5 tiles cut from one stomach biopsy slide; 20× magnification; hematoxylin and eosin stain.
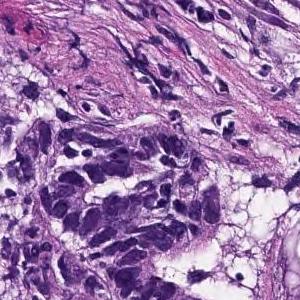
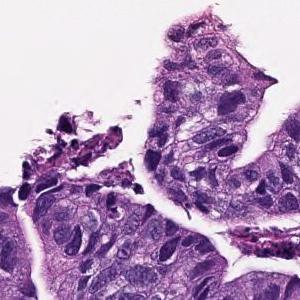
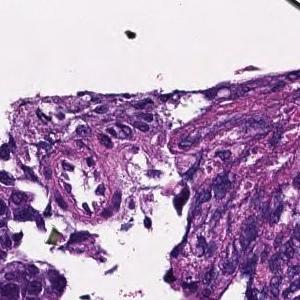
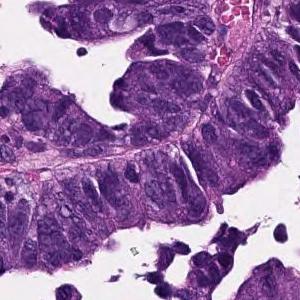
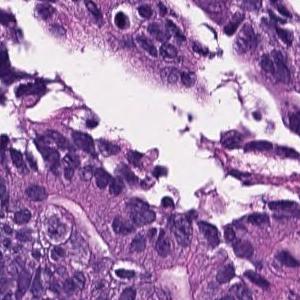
Report on the slide these tiles come from. Both the report and the diagnosis are for the whole slide: these tiles need not show every feature named, and some of the tissue shown may not be tumor.
In the superficial epithelium, tumor tissue that invades by forming medium-sized to small, irregular ducts is observed. moderately differentiated tubular adenocarcinoma.
